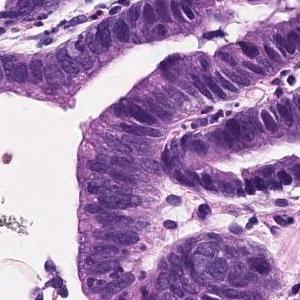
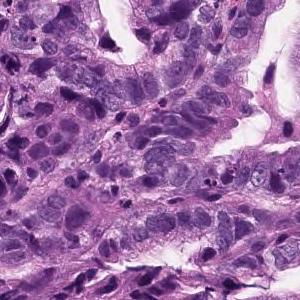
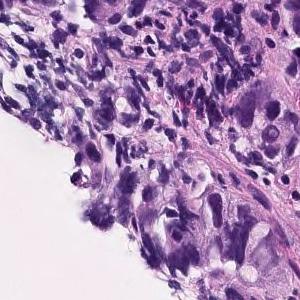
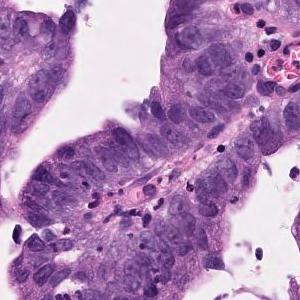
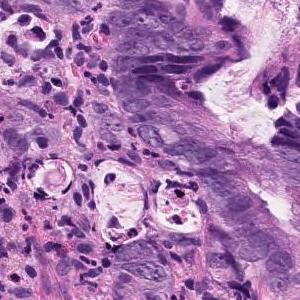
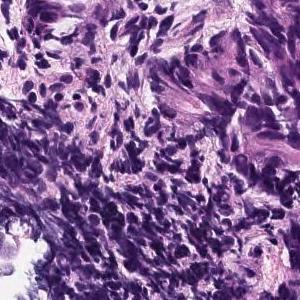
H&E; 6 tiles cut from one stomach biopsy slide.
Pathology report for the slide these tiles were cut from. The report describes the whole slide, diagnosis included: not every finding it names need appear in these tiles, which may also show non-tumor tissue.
The swollen atypical epithelium of the nucleus forms an irregular ductal structure and proliferates. moderately differentiated tubular adenocarcinoma
